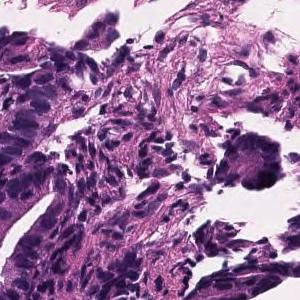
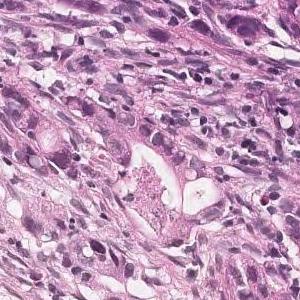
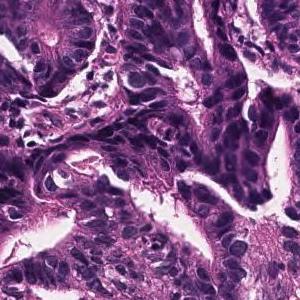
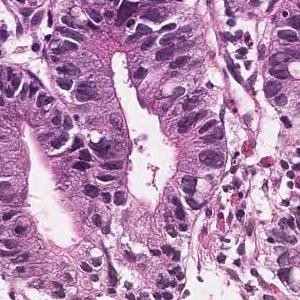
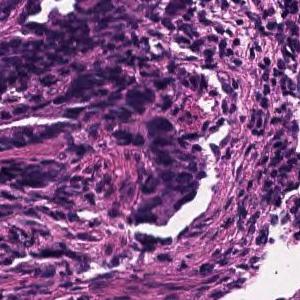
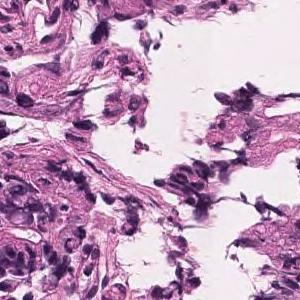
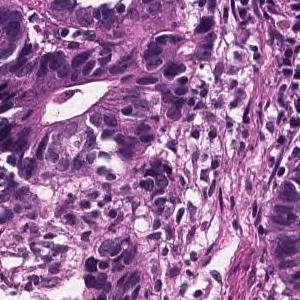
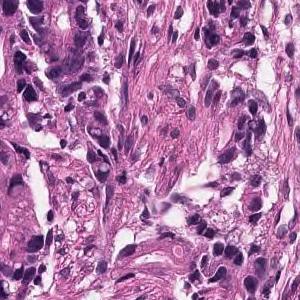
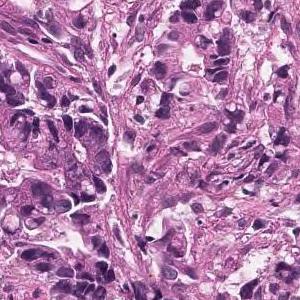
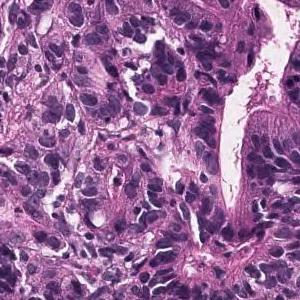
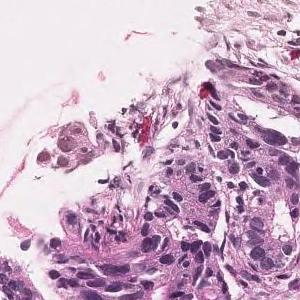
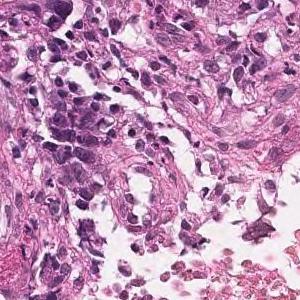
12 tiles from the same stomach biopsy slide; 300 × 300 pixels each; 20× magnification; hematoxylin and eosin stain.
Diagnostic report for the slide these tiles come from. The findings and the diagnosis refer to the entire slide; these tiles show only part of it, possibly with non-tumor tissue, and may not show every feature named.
In the superficial epithelium, tumor tissue is found in which medium-sized irregular gland ducts fuse with each other and infiltrate. moderately differentiated tubular adenocarcinoma
